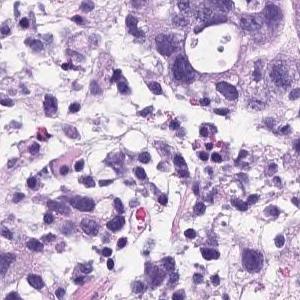
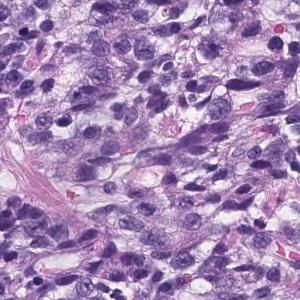
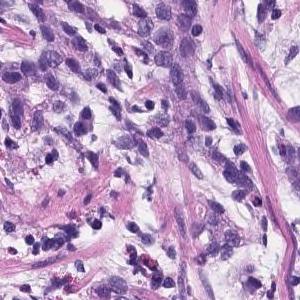
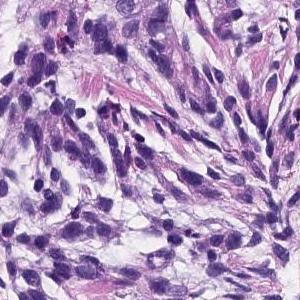
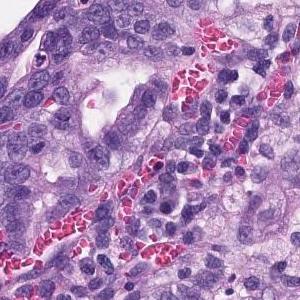
×20; hematoxylin and eosin stain; 5 tiles from the same stomach biopsy slide; each 300 × 300 pixels.
Pathology report for the biopsy slide these tiles were cut from. The report and the diagnosis describe the slide as a whole, so these tiles may not show every feature named and may include non-tumor tissue.
There are atypical l cells with atypical nuclei forming cord-like or irregular atypical ducts from solidity and proliferating in a comprehensive manner. Poorly differentiated adenocarcinoma, Moderately differentiated adenocarcinoma (poorly differentiated adenocarcinoma, solid type moderately differentiated tubular adenocarcinoma)
Histologic type: Moderately to poorly differentiated adenocarcinoma.
The solid type named here is a Japanese Classification of Gastric Carcinoma category; WHO 2019 calls it tubular adenocarcinoma, poorly differentiated.
